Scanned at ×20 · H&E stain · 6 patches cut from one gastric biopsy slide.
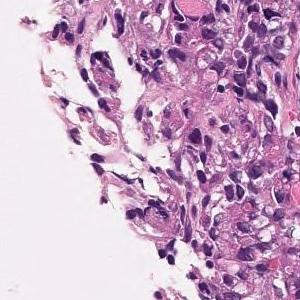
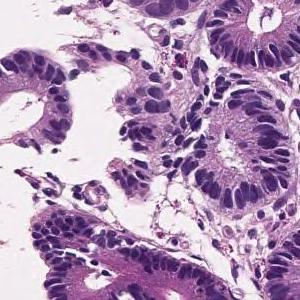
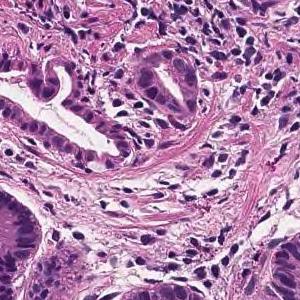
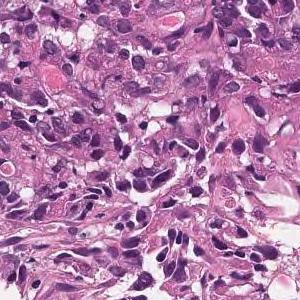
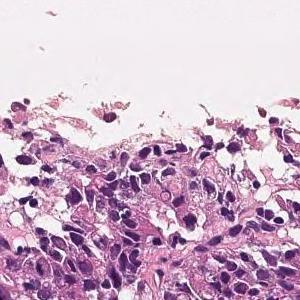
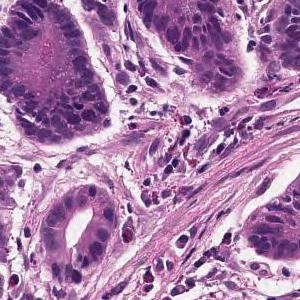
Diagnostic report for the slide these tiles come from. The report and the diagnosis describe the slide as a whole, so these tiles may not show every feature named and may include non-tumor tissue.
Tumor tissue consisting of cord-like or small, irregular glandular ducts fused and infiltrated is observed in the superficial epithelium. Poorly differentiated adenocarcinoma, non-solid type
"Non-solid type" is a category of the Japanese Classification of Gastric Carcinoma.
